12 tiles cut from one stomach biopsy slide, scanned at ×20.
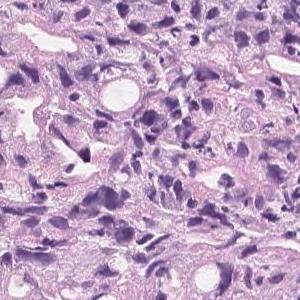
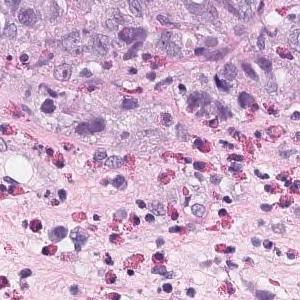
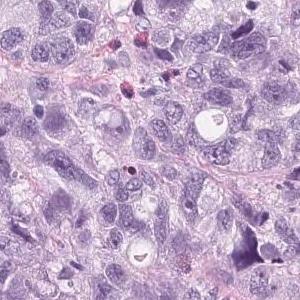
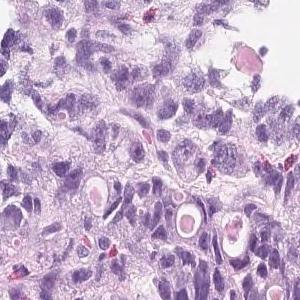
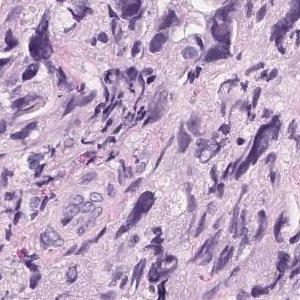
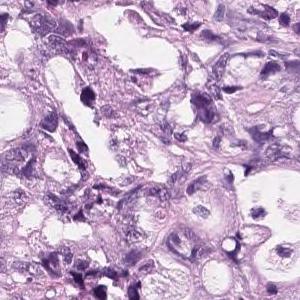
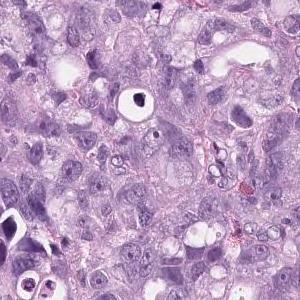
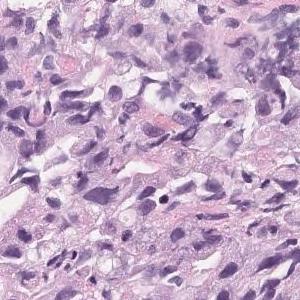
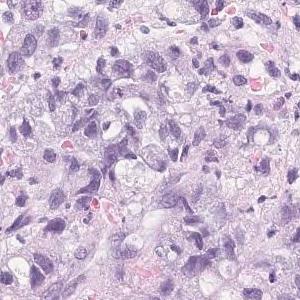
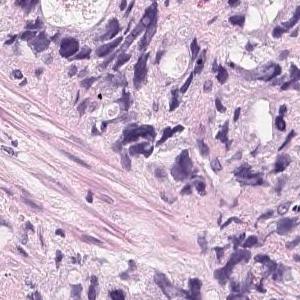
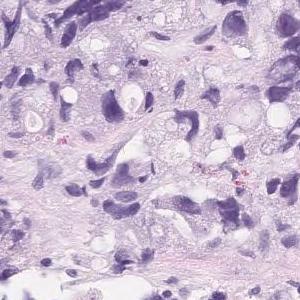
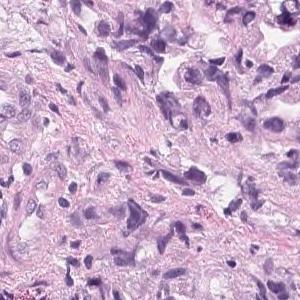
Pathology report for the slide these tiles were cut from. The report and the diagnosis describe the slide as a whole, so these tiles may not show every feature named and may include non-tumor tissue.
Tumor tissue that infiltrates and proliferates by forming small glandular cavities in the superficial layer to the submucosa or forming a mass is observed. moderately differentiated tubular adenocarcinoma
